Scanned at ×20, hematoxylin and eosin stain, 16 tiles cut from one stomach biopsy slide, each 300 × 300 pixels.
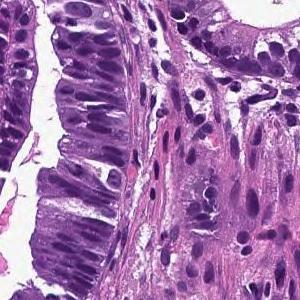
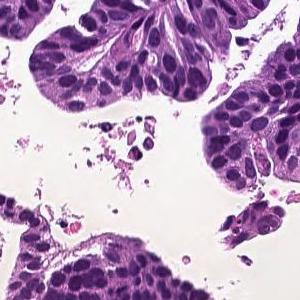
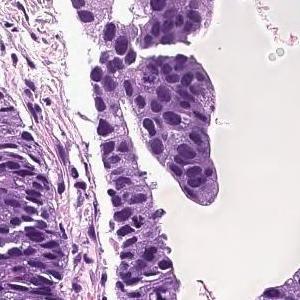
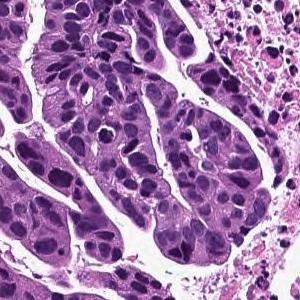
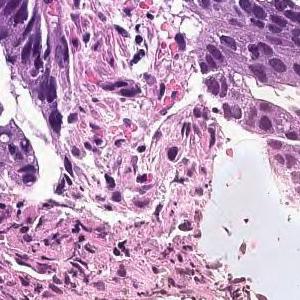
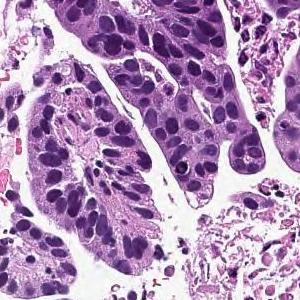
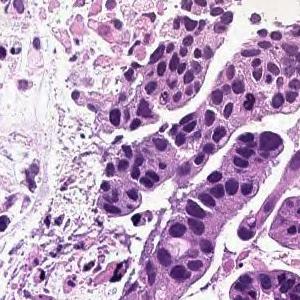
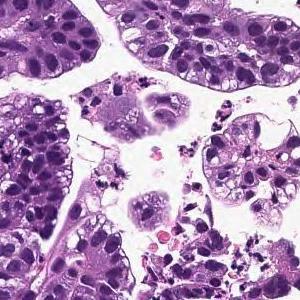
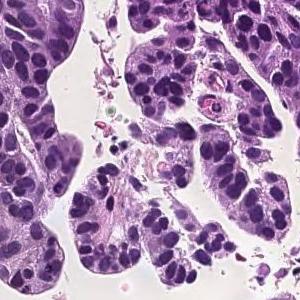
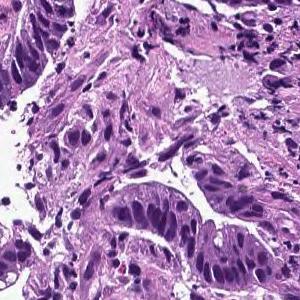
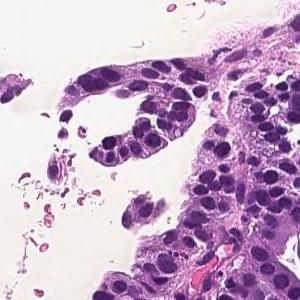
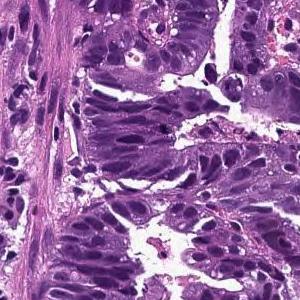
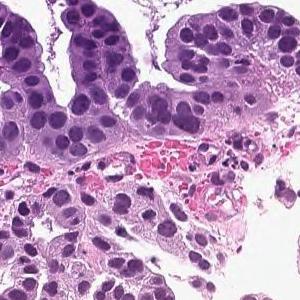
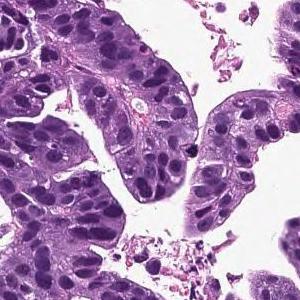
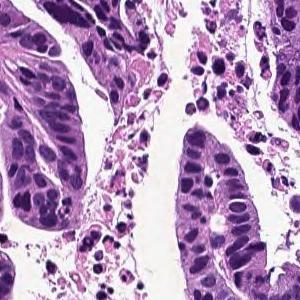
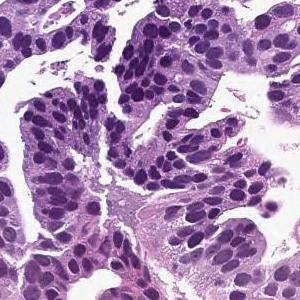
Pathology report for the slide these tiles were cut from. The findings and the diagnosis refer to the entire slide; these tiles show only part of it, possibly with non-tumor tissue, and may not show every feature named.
Tumor cells are large, highly columnar, large club-shaped nuclei, and are associated with chromatin aggregation. Papillary adenocarcinoma.
